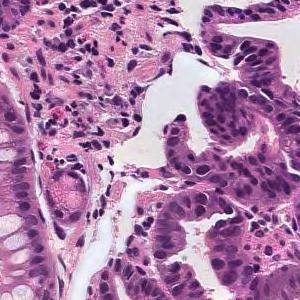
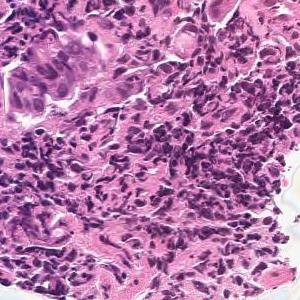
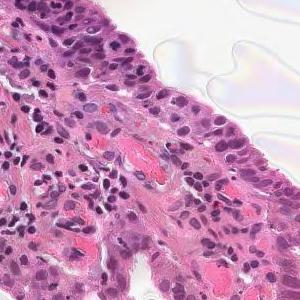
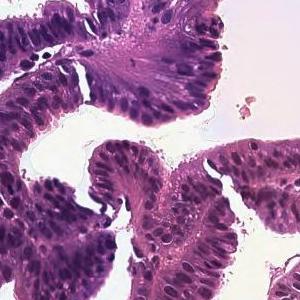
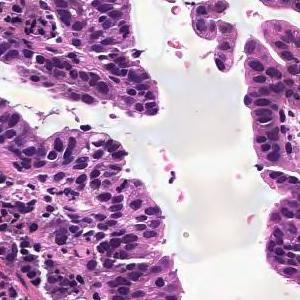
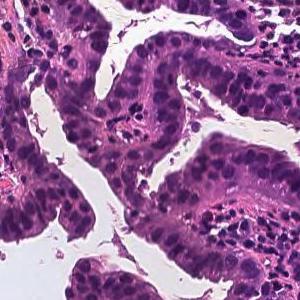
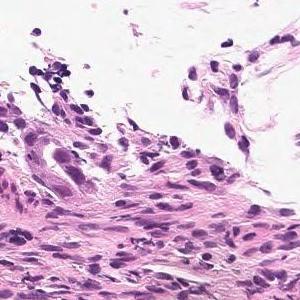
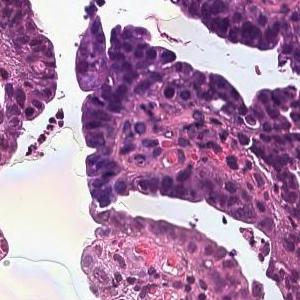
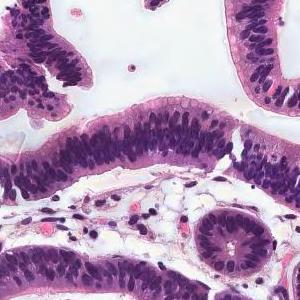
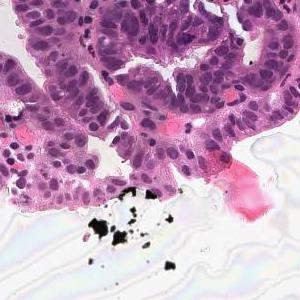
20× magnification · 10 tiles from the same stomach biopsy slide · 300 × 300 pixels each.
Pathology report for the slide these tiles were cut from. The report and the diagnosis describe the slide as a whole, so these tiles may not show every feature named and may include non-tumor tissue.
From the superficial epithelium to the muscularis mucosae, tumor tissue consisting of medium-sized and irregular glandular ducts infiltrating is observed. Well differentiated tubular adenocarcinoma
